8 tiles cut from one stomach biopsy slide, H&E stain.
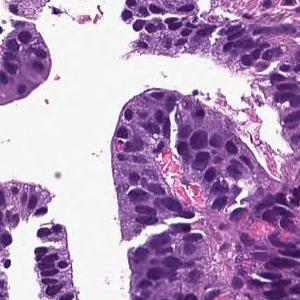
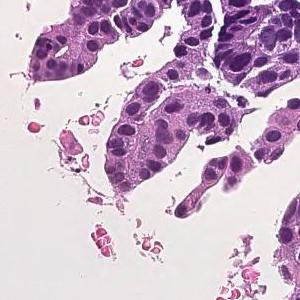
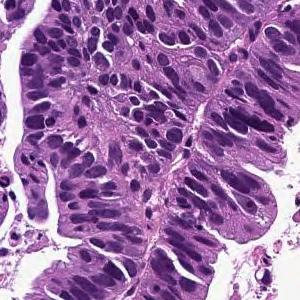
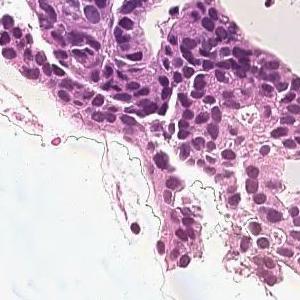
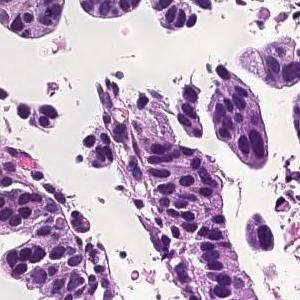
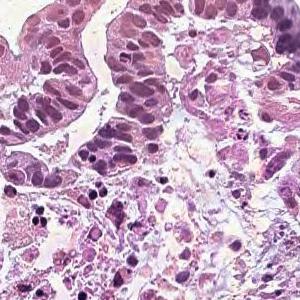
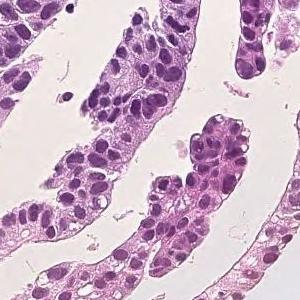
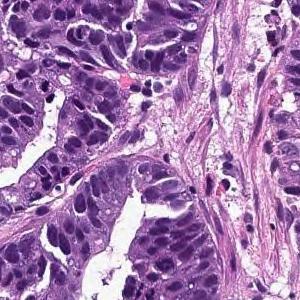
Report on the slide these tiles come from. The report describes the whole slide, diagnosis included: not every finding it names need appear in these tiles, which may also show non-tumor tissue.
Tumor cells are large, highly columnar, large club-shaped nuclei, and are associated with chromatin aggregation. Papillary adenocarcinoma.
